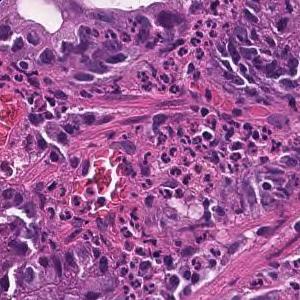
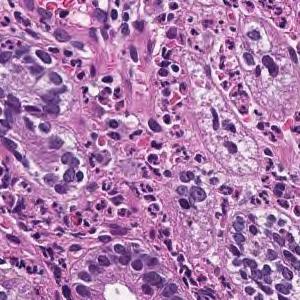
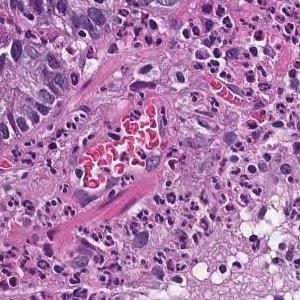
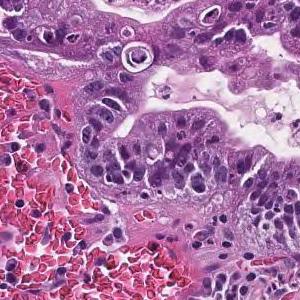
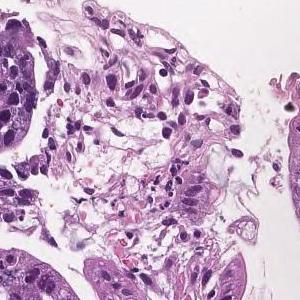
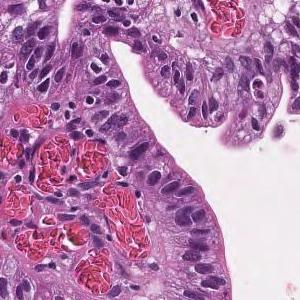
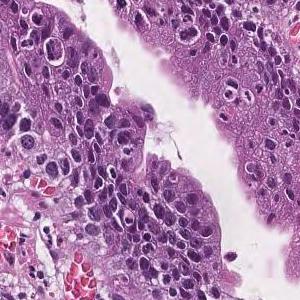
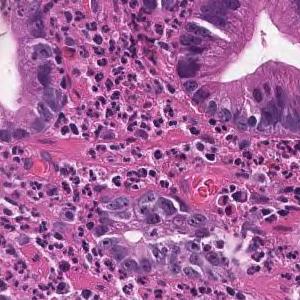
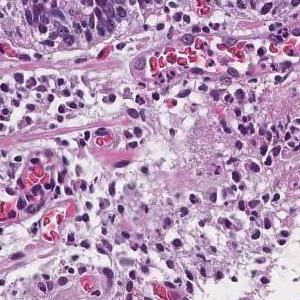
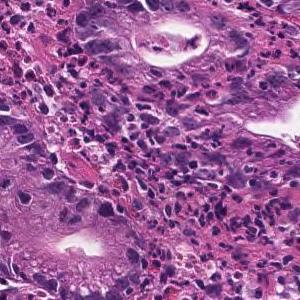
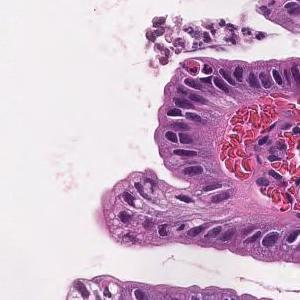
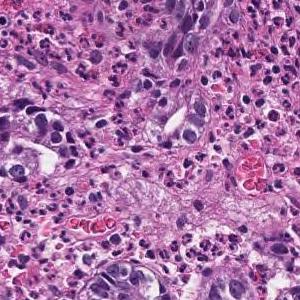
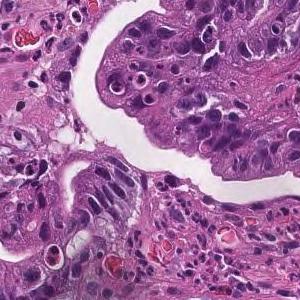
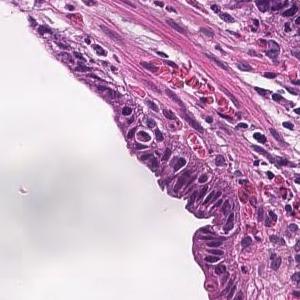
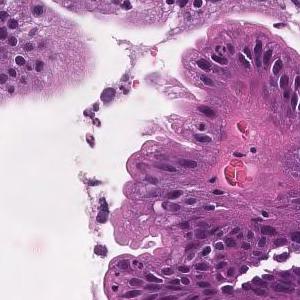
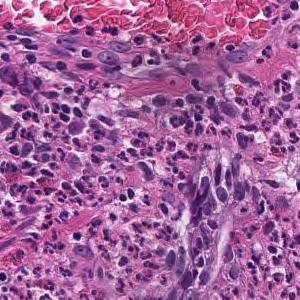
Hematoxylin and eosin stain, 16 patches cut from one gastric biopsy slide.
Pathology report for the biopsy slide these tiles were cut from. The report and the diagnosis describe the slide as a whole, so these tiles may not show every feature named and may include non-tumor tissue.
Tumor cells are large, highly columnar, large club-shaped nuclei, and are associated with chromatin aggregation. Papillary adenocarcinoma.
